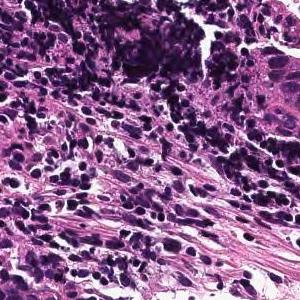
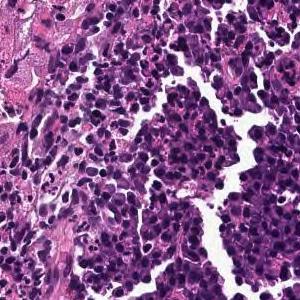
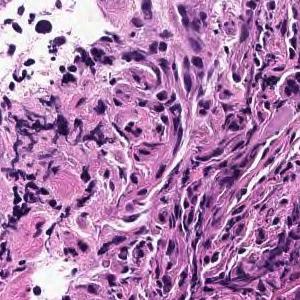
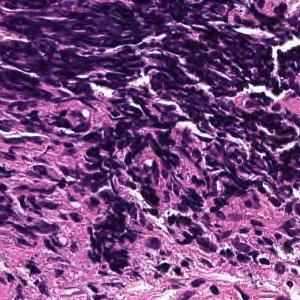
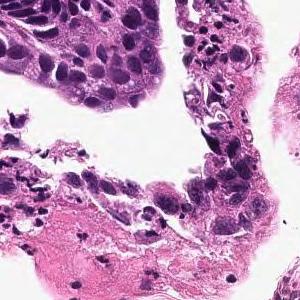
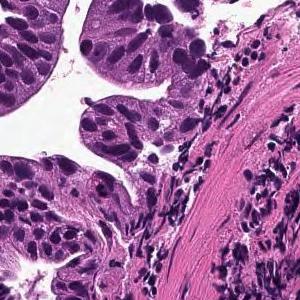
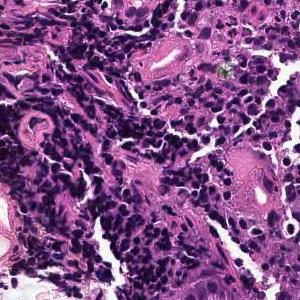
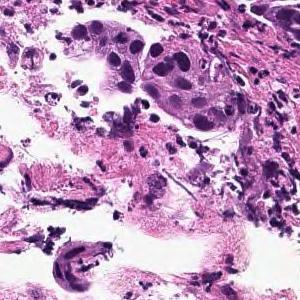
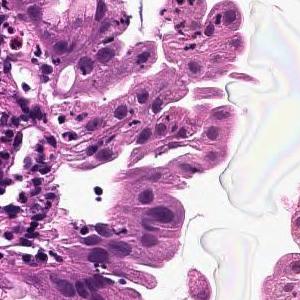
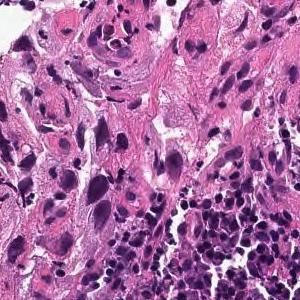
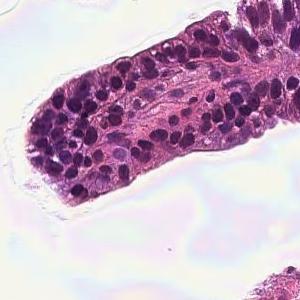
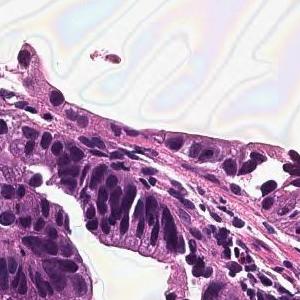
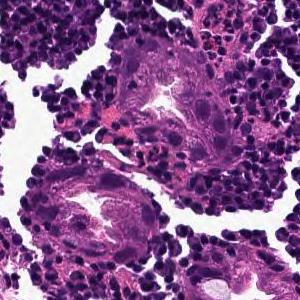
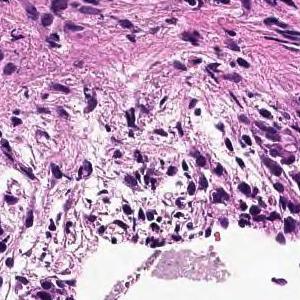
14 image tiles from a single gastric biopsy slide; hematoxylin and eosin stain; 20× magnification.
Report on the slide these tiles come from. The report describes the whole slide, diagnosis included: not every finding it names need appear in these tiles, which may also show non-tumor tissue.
On the superficial epithelium, tumor tissue that infiltrates by forming medium-sized papillary or small irregular ducts is observed. Papillary adenocarcinoma
